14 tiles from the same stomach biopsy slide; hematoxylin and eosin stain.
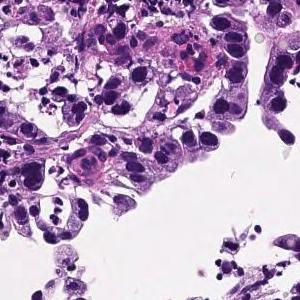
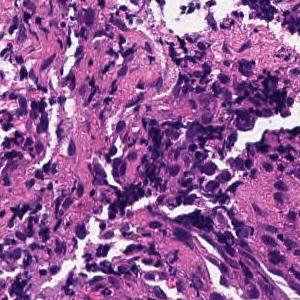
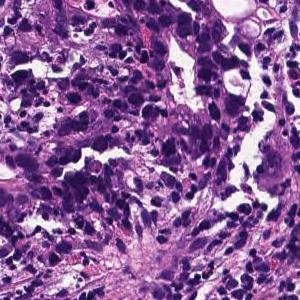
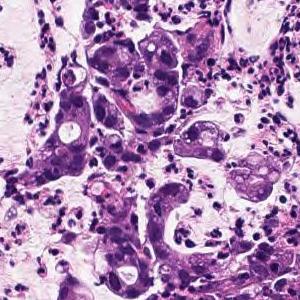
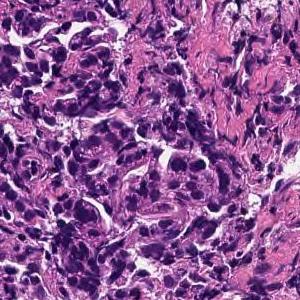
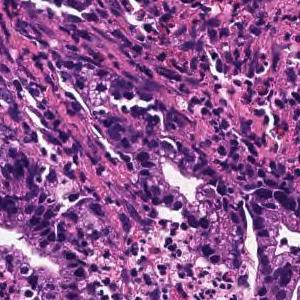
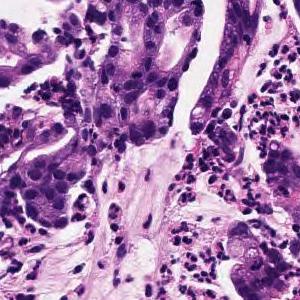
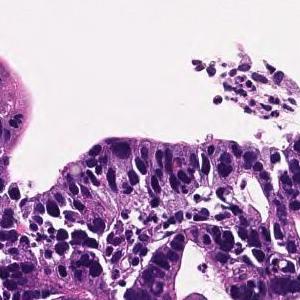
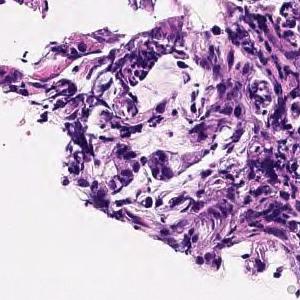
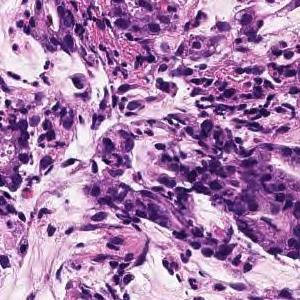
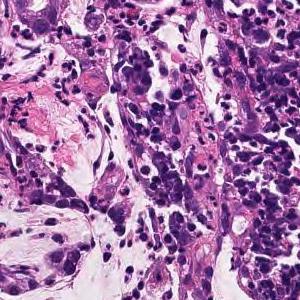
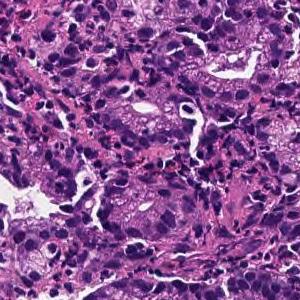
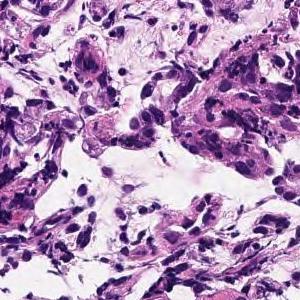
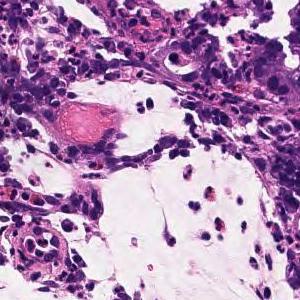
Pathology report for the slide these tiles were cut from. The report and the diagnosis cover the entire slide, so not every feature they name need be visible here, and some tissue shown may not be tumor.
On the superficial epithelium, tumor tissue consisting of large, irregular glandular ducts partially fused and infiltrated is observed. Well to moderately differentiated tubular adenocarcinoma (well differentiated tubular adenocarcinoma, moderately differentiated tubular adenocarcinoma)
Histological subtype: Well to moderately differentiated tubular adenocarcinoma.
